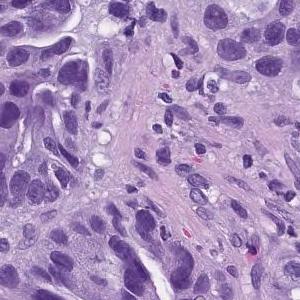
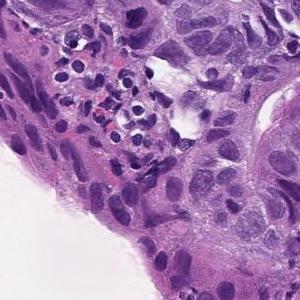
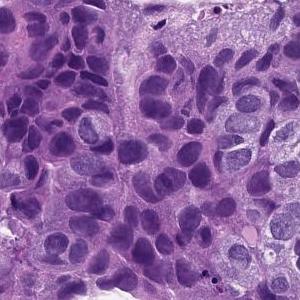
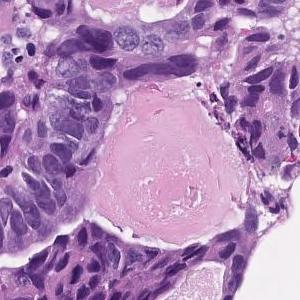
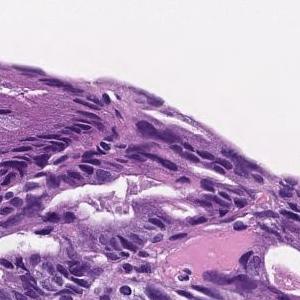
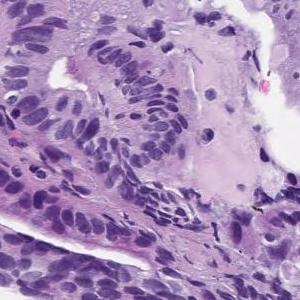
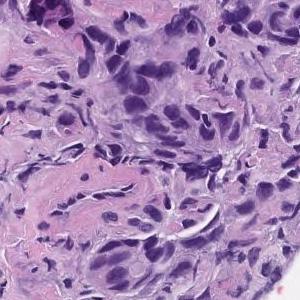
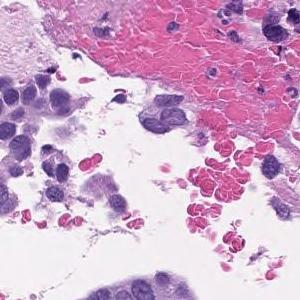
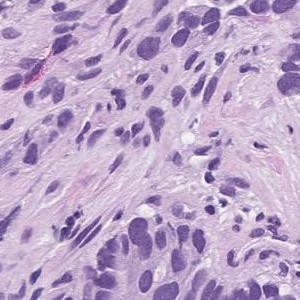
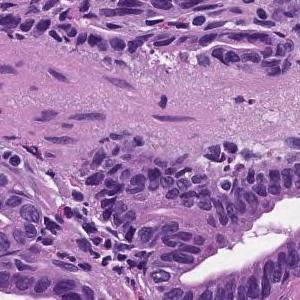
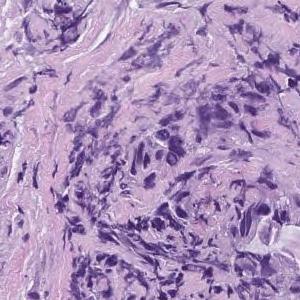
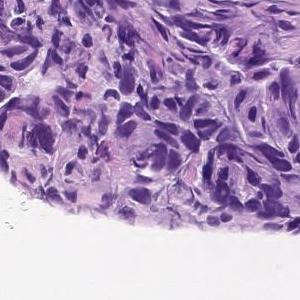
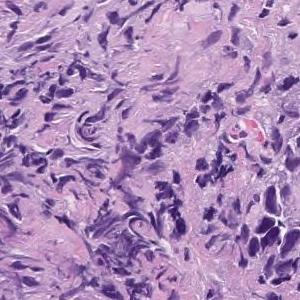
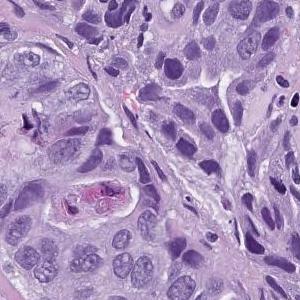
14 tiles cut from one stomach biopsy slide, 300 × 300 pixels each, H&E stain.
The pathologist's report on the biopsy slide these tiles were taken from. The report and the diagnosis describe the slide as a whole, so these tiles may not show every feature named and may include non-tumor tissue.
In the superficial epithelium, tumor tissue that invades by forming medium-sized to small, irregular ducts is observed. moderately differentiated tubular adenocarcinoma.
